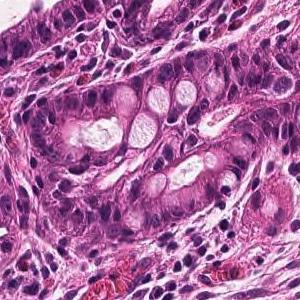
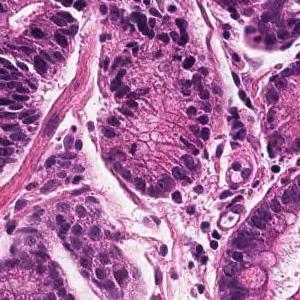
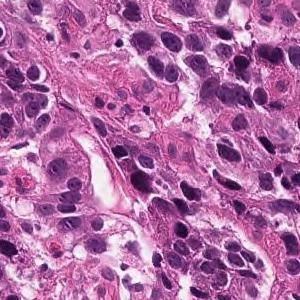
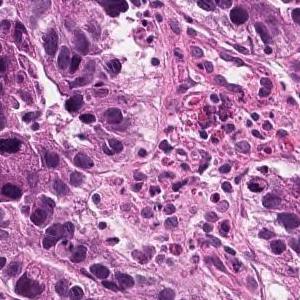
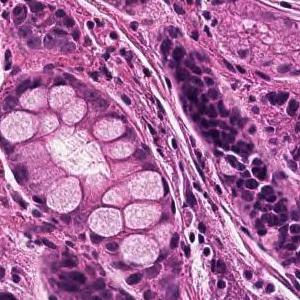
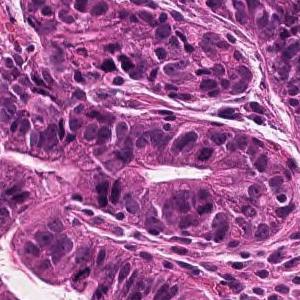
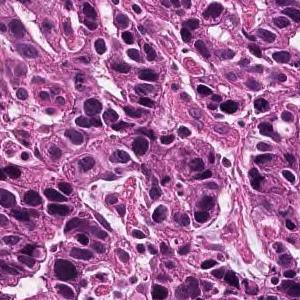
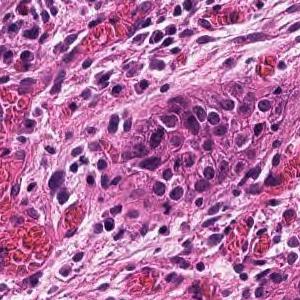
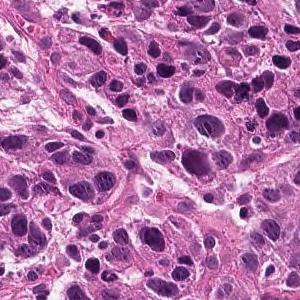
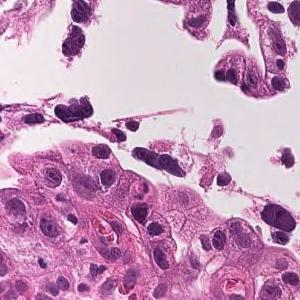
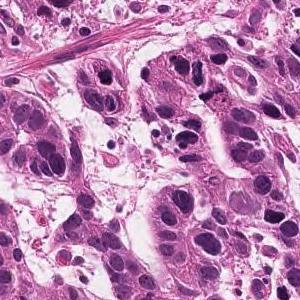
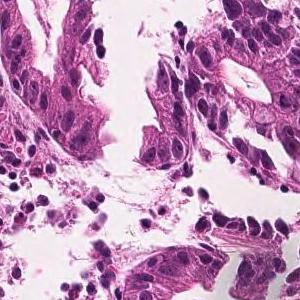
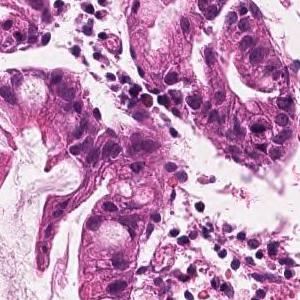
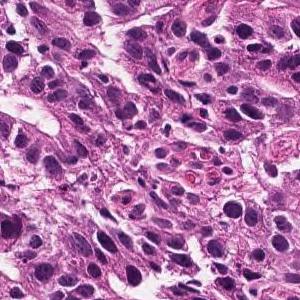
Hematoxylin and eosin stain · 14 image tiles from a single gastric biopsy slide.
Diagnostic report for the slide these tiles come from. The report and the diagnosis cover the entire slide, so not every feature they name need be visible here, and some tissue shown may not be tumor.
Tumor tissue consisting of medium-sized, cord-like or irregular glandular infiltration is observed in the superficial epithelium. Poorly differentiated adenocarcinoma, non-solid type or moderately differentiated tubular adenocarcinoma
Classified as moderately to poorly differentiated adenocarcinoma.
"Non-solid type" is a category of the Japanese Classification of Gastric Carcinoma.
